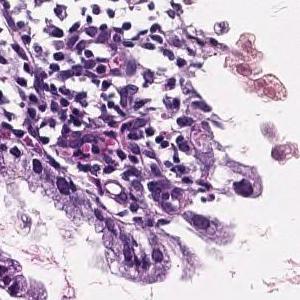
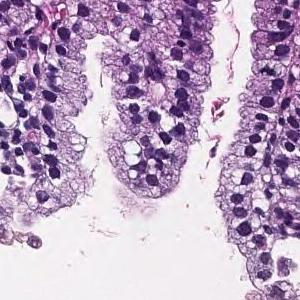
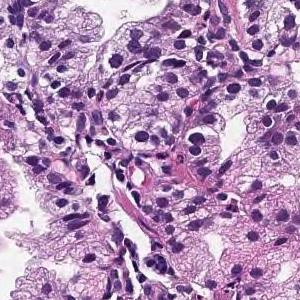
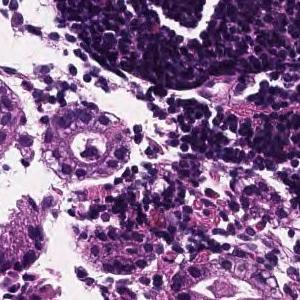
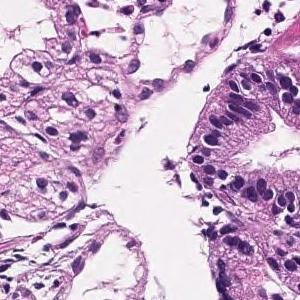
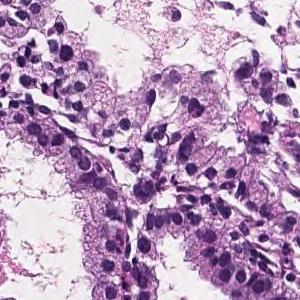
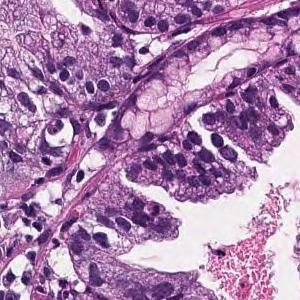
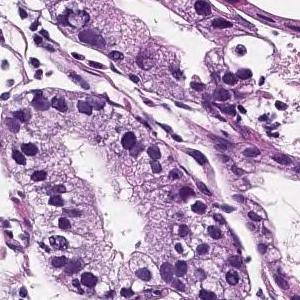
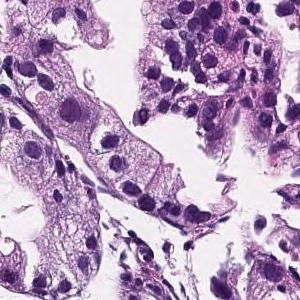
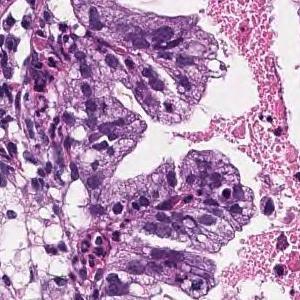
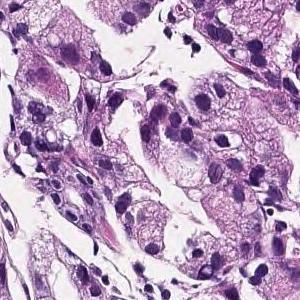
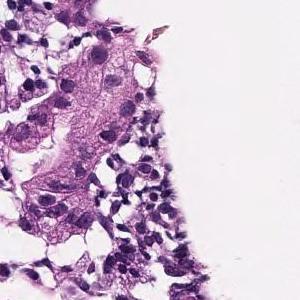
12 patches cut from one gastric biopsy slide; 20× magnification; hematoxylin and eosin stain.
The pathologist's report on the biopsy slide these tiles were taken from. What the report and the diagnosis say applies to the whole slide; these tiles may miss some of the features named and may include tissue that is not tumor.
In the superficial epithelium, tumor tissue that infiltrates by forming medium-sized papillary or small irregular ducts is observed. Papillary adenocarcinoma
